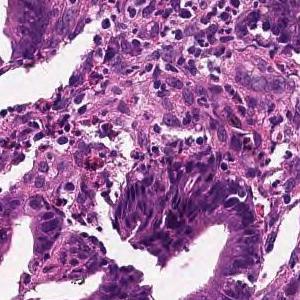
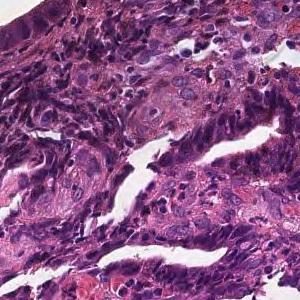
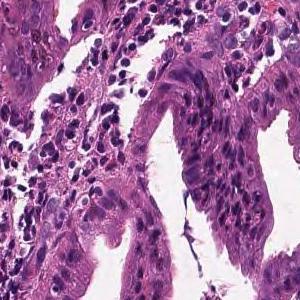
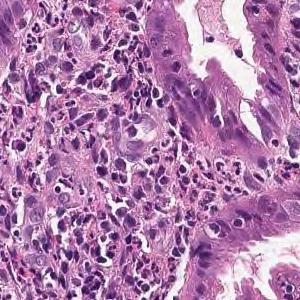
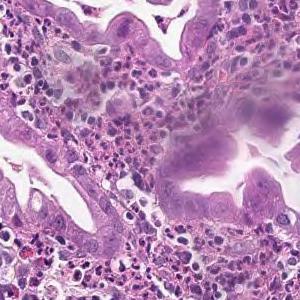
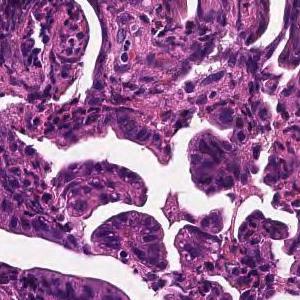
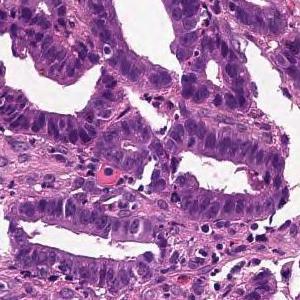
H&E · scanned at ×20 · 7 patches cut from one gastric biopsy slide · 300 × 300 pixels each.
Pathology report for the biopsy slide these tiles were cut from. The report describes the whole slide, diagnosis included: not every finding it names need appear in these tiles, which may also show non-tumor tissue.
From the superficial epithelium to the muscularis mucosae, tumor tissue consisting of medium-sized and irregular glandular ducts infiltrating is observed. Well differentiated tubular adenocarcinoma
